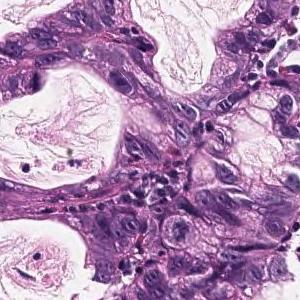
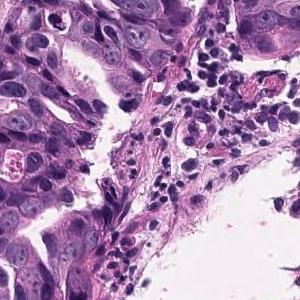
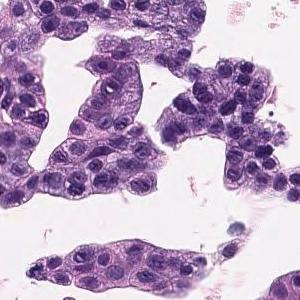
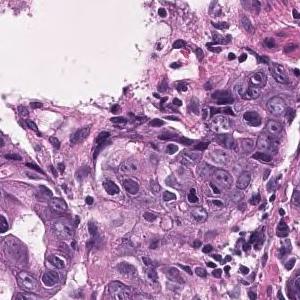
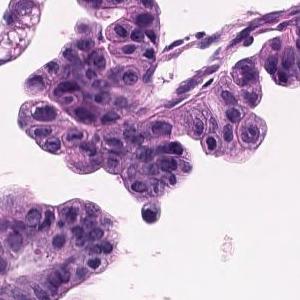
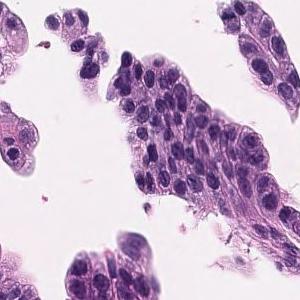
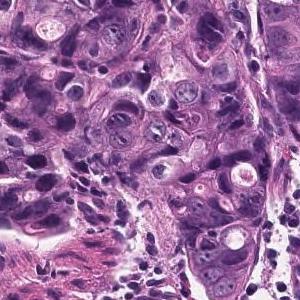
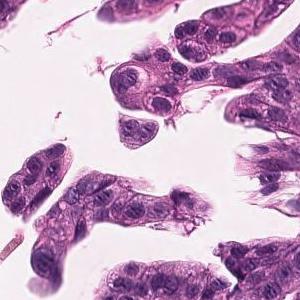
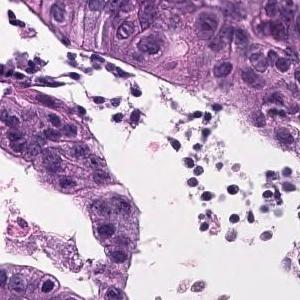
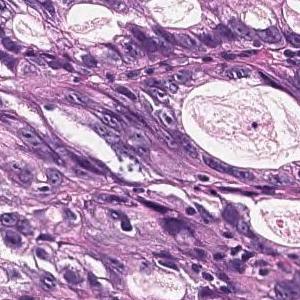
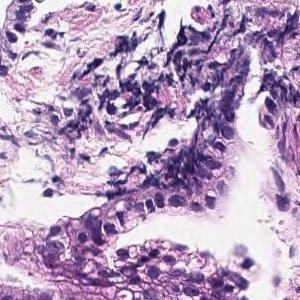
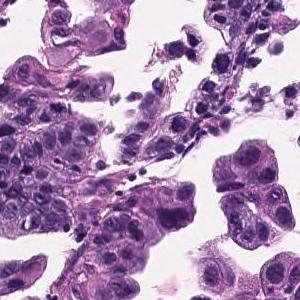
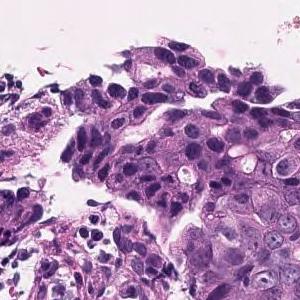
×20, hematoxylin and eosin stain, 13 tiles from the same stomach biopsy slide.
Pathology report for the slide these tiles were cut from. The report and the diagnosis describe the slide as a whole, so these tiles may not show every feature named and may include non-tumor tissue.
Tumor cells are large, highly columnar, large club-shaped nuclei, and are associated with chromatin aggregation. Papillary adenocarcinoma.
